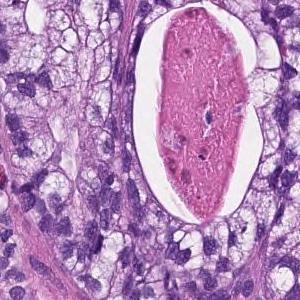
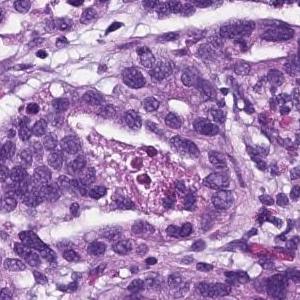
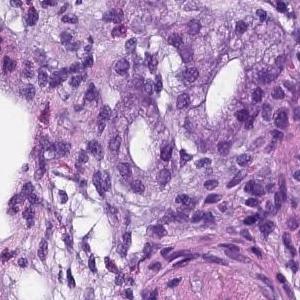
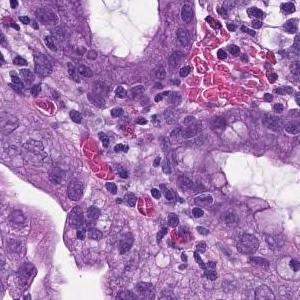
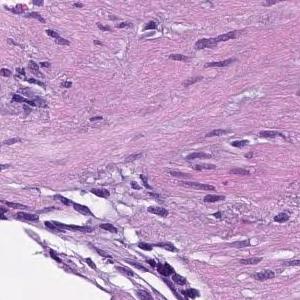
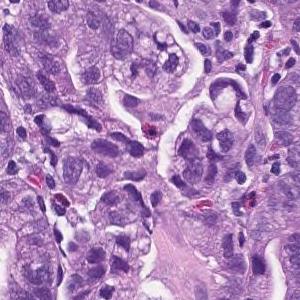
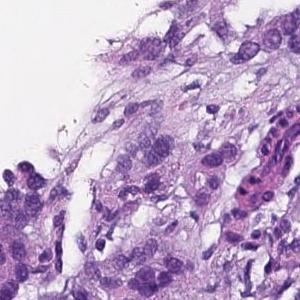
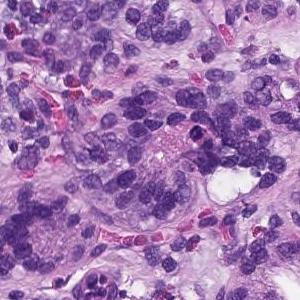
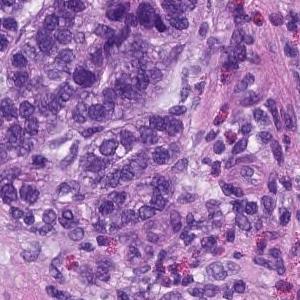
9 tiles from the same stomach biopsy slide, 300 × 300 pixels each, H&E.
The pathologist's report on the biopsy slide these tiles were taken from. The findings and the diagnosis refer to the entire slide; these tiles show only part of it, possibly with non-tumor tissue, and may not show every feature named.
From the superficial epithelium to the muscularis mucosae, tumor tissue consisting of medium-sized and irregular glandular ducts infiltrating is observed. Well differentiated tubular adenocarcinoma
